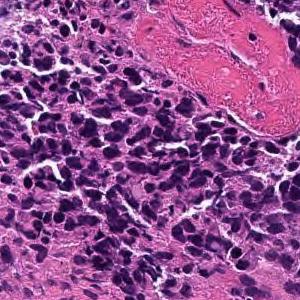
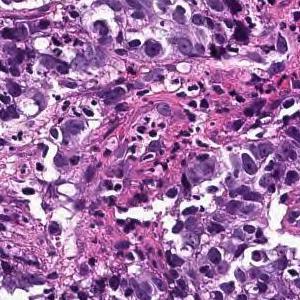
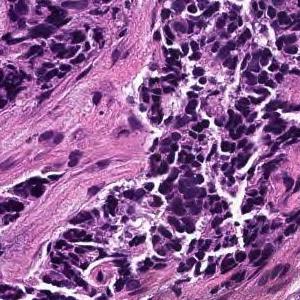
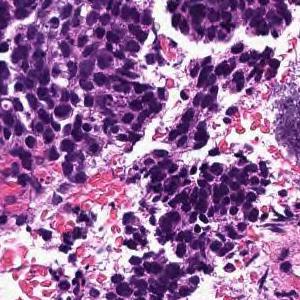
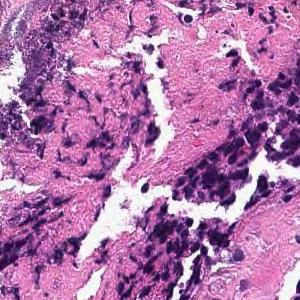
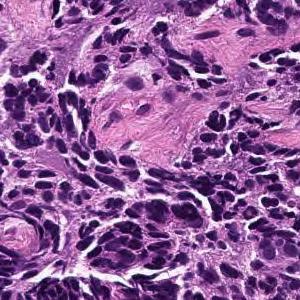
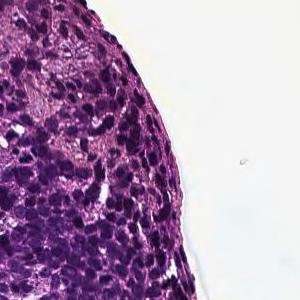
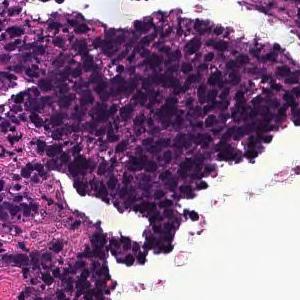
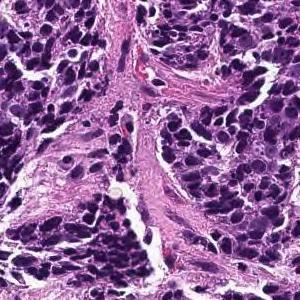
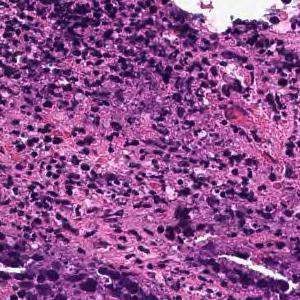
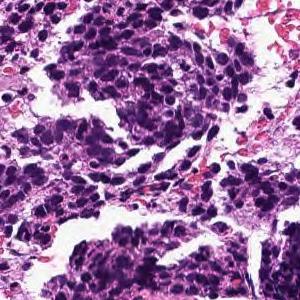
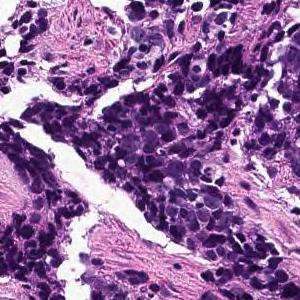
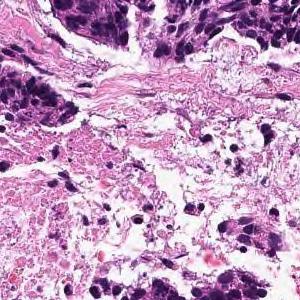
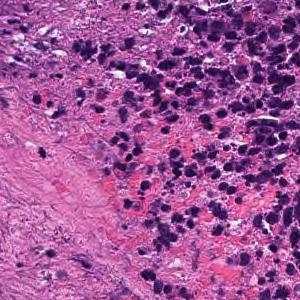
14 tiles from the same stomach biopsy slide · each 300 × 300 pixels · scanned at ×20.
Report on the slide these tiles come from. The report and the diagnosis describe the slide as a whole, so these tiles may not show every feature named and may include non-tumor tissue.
The superficial epithelium shows a large sheet or alveolar shape, and tumor tissue infiltrating without irregular ducts is observed. Poorly differentiated adenocarcinoma, solid-type
Classified as poorly differentiated adenocarcinoma, solid type, a category of the Japanese Classification of Gastric Carcinoma; in the WHO 2019 classification it is tubular adenocarcinoma, poorly differentiated.
